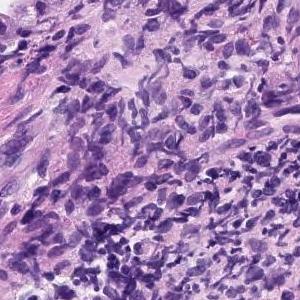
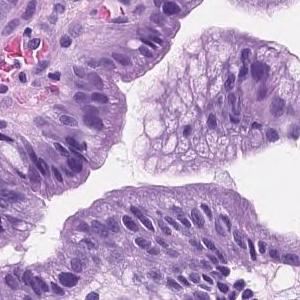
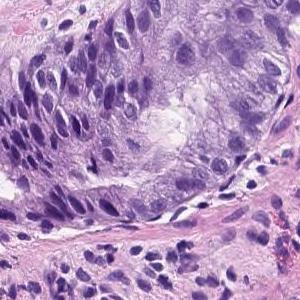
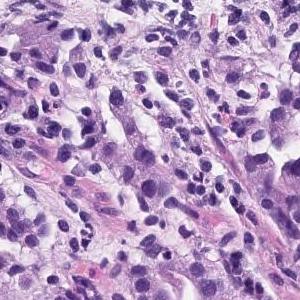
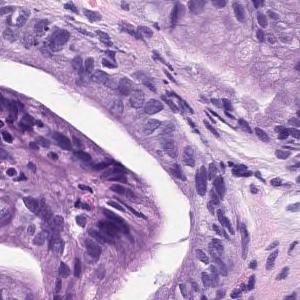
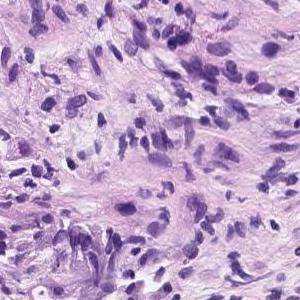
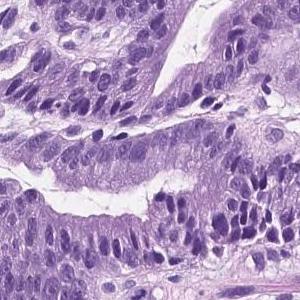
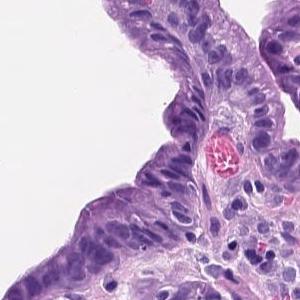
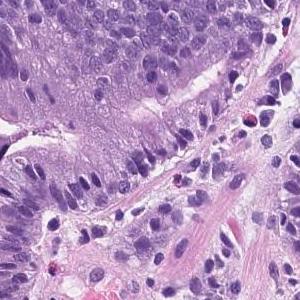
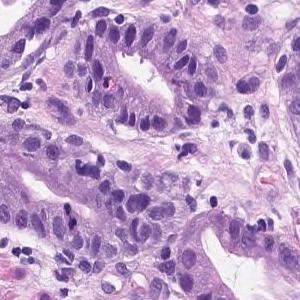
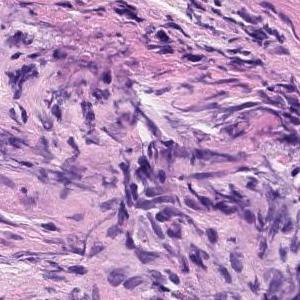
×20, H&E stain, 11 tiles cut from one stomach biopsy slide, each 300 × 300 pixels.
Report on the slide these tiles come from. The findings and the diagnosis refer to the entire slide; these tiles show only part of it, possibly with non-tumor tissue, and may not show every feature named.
Tumor tissue consisting of medium-sized and irregular ducts is observed infiltrating in the superficial epithelium. Tumor cells are highly columnar, with nuclei aligned basolaterally and polarized. Well differentiated tubular adenocarcinoma.
